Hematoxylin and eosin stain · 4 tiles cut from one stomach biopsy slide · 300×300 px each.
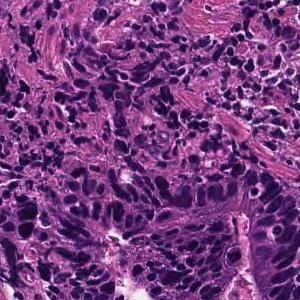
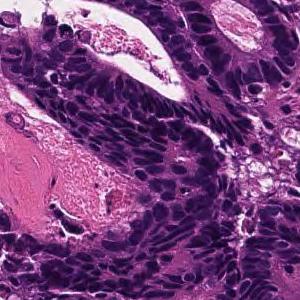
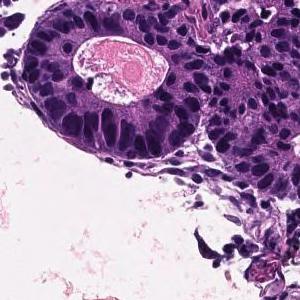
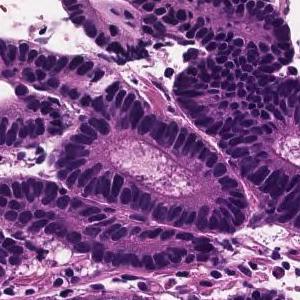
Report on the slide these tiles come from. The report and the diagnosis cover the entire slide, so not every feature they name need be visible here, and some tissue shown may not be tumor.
In the superficial epithelium, tumor tissue that invades by forming medium-sized to small, irregular ducts is observed. moderately differentiated tubular adenocarcinoma.
